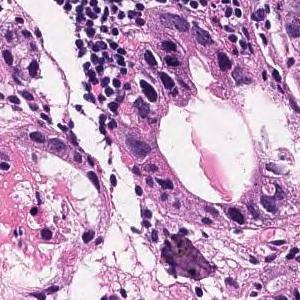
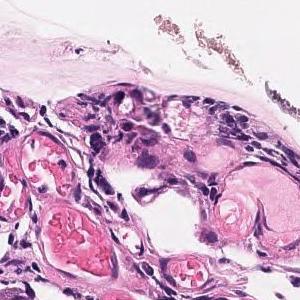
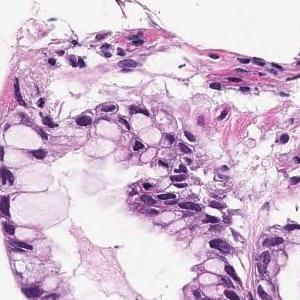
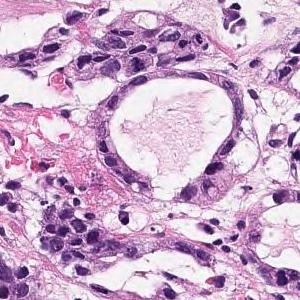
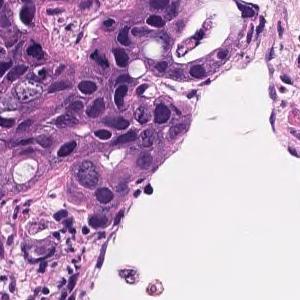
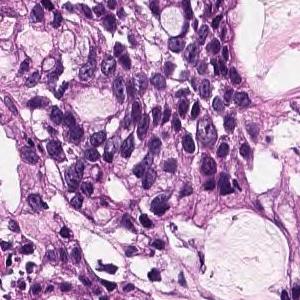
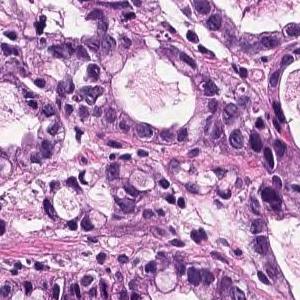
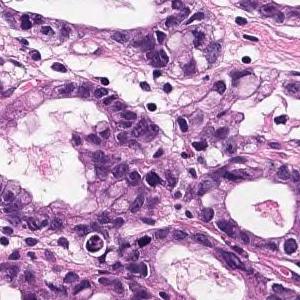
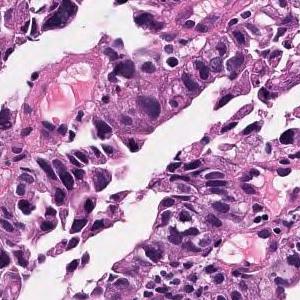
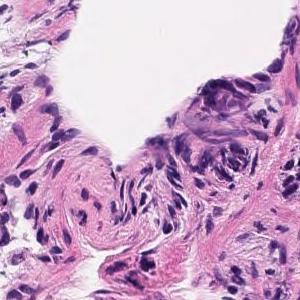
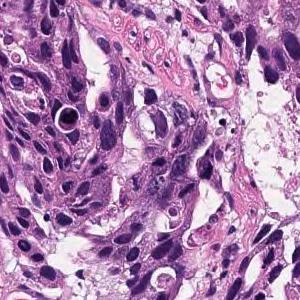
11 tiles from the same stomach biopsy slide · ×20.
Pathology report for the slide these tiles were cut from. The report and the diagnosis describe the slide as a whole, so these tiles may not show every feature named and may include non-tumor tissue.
In the superficial epithelium, tumor tissue that invades by forming medium-sized to small, irregular ducts is observed. Moderately differentiated adenocarcinoma.
Classified as moderately differentiated tubular adenocarcinoma.
